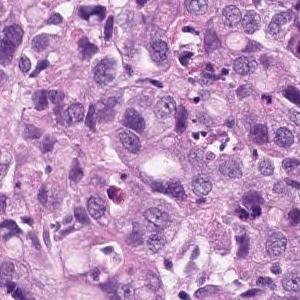
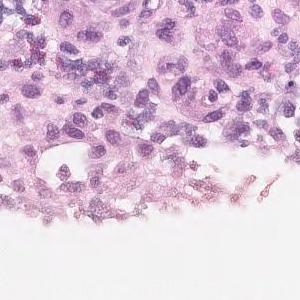
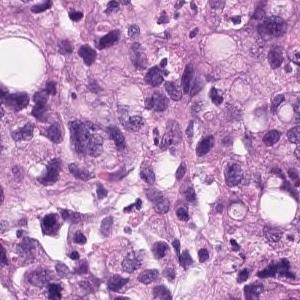
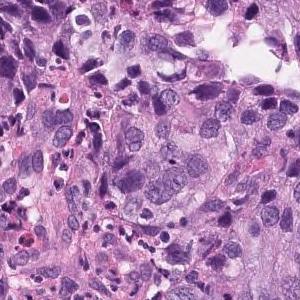
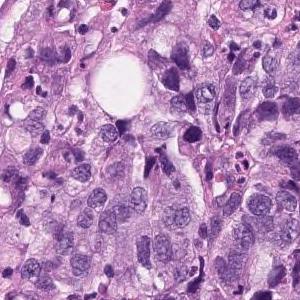
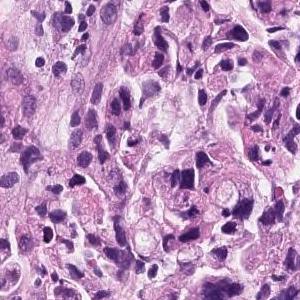
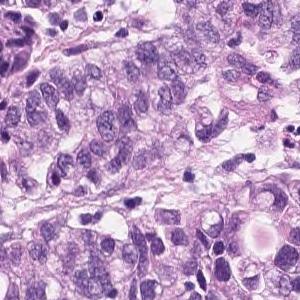
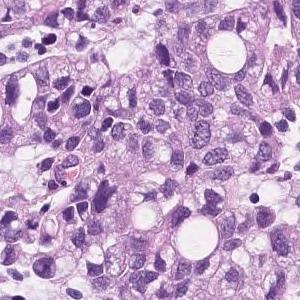
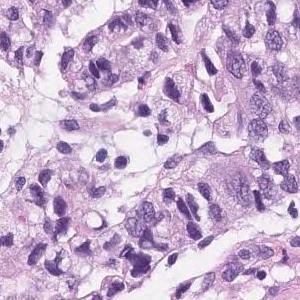
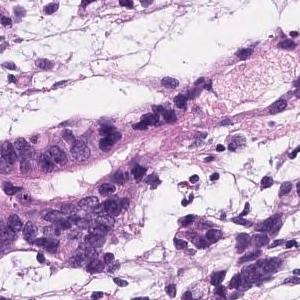
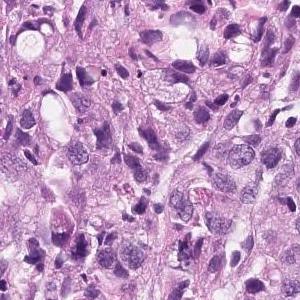
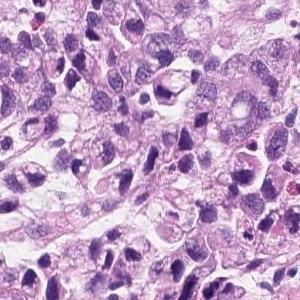
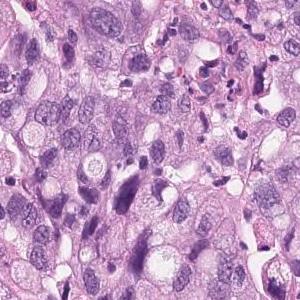
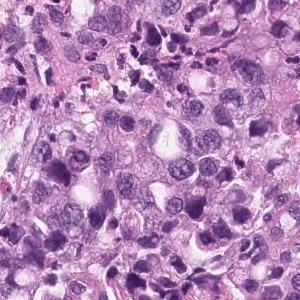
H&E stain · scanned at ×20 · 14 image tiles from a single gastric biopsy slide · each 300 × 300 pixels.
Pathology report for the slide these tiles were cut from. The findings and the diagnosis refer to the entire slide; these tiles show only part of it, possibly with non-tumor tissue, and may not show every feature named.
Group 5, Adenocarcinoma. Poorly differentiated adenocarcinoma, non-solid type
The non-solid type named here is a Japanese Classification of Gastric Carcinoma category.
